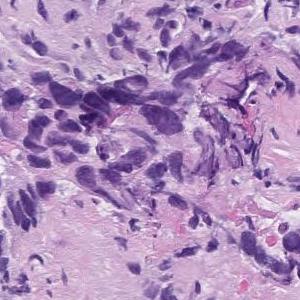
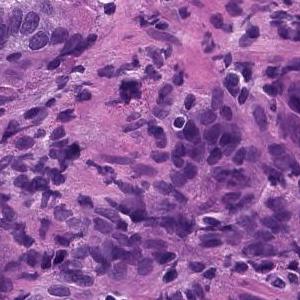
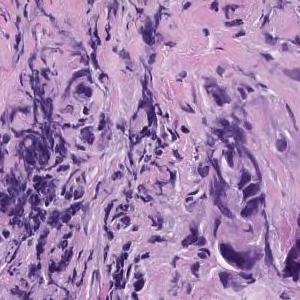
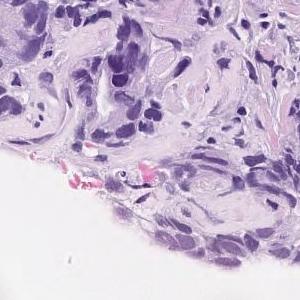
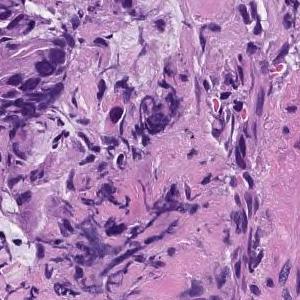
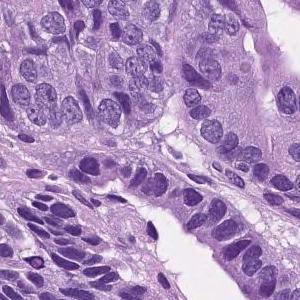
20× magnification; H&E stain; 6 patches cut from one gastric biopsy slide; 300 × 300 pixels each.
Report on the slide these tiles come from. The findings and the diagnosis refer to the entire slide; these tiles show only part of it, possibly with non-tumor tissue, and may not show every feature named.
In the superficial epithelium, tumor tissue that invades by forming medium-sized to small, irregular ducts is observed. moderately differentiated tubular adenocarcinoma.
